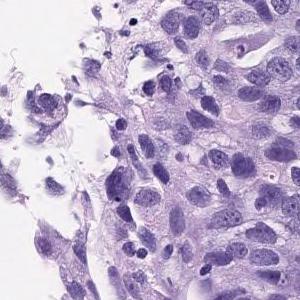
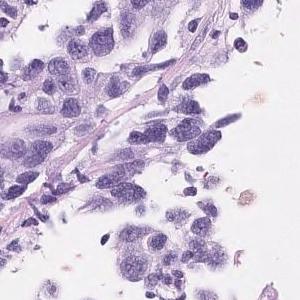
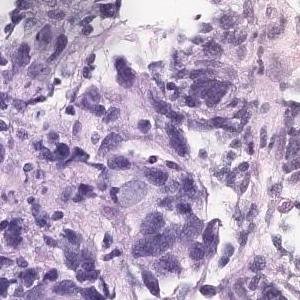
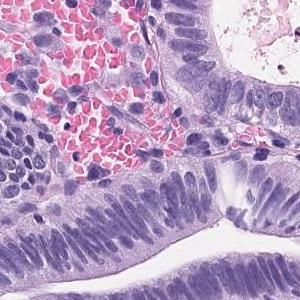
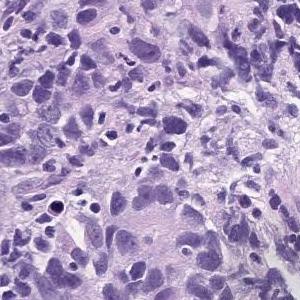
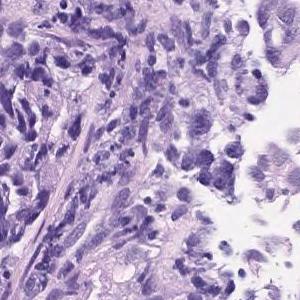
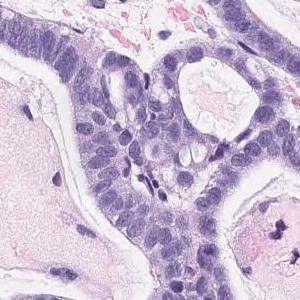
Scanned at ×20 · 7 tiles cut from one stomach biopsy slide · 300×300 px each.
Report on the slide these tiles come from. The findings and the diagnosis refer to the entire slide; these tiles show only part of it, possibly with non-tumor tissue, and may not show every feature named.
The superficial epithelium shows a large sheet-like shape, and some tumor tissue infiltrates with small irregular ducts. Poorly differentiated adenocarcinoma, solid-type
Histological subtype: Poorly differentiated adenocarcinoma, solid type (Japanese Classification of Gastric Carcinoma). The WHO 2019 equivalent is tubular adenocarcinoma, poorly differentiated.
